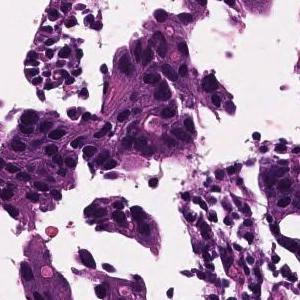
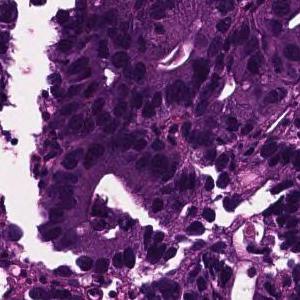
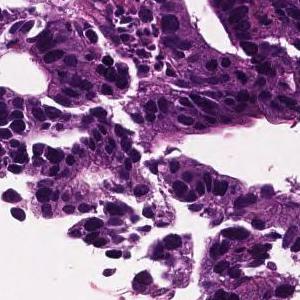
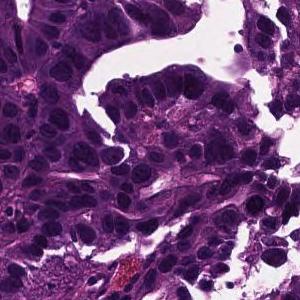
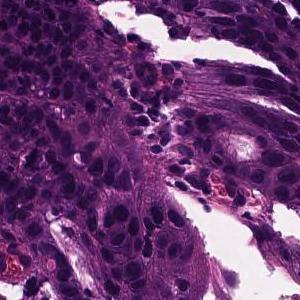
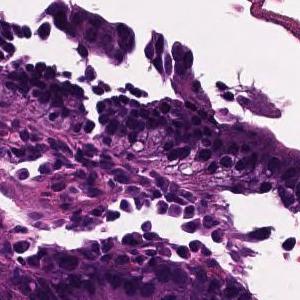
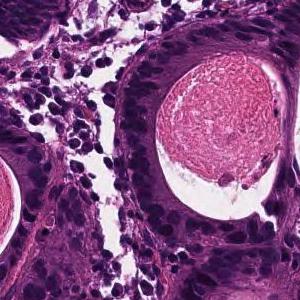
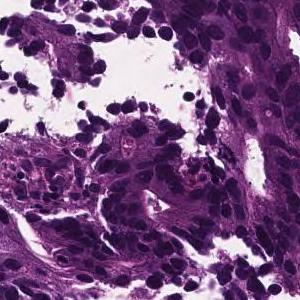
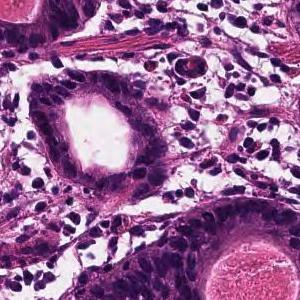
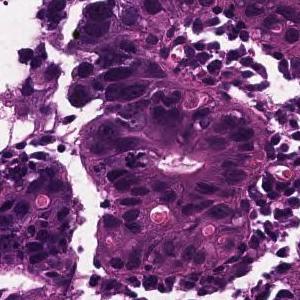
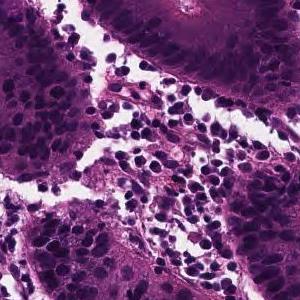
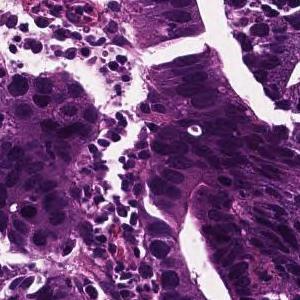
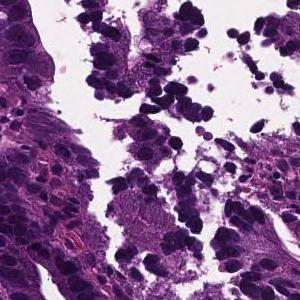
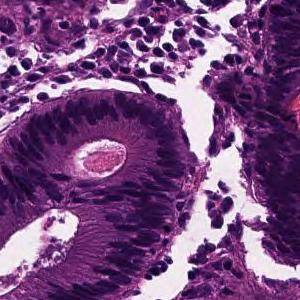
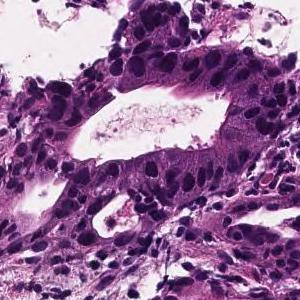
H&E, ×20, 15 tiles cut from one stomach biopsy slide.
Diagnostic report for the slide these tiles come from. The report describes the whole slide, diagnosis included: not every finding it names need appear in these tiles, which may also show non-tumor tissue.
In the superficial epithelium, tumor tissue that invades by forming medium-sized to small, irregular ducts is observed. moderately differentiated tubular adenocarcinoma.
